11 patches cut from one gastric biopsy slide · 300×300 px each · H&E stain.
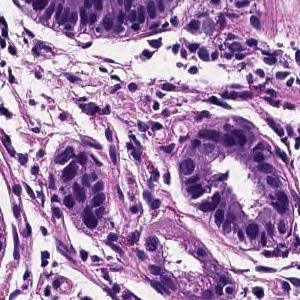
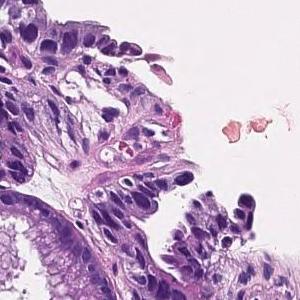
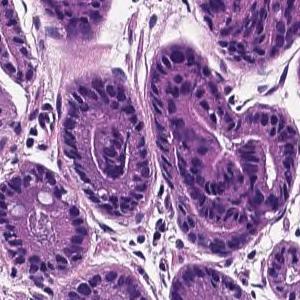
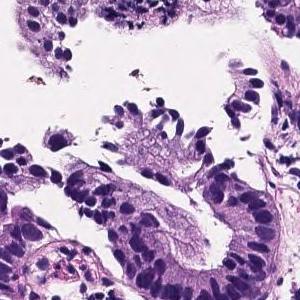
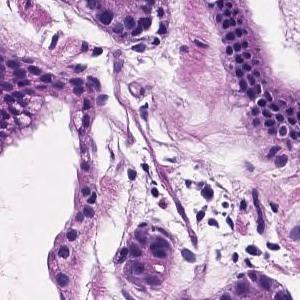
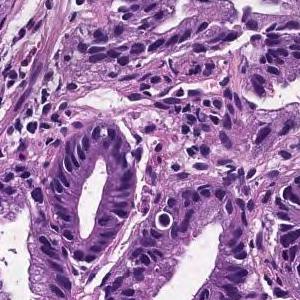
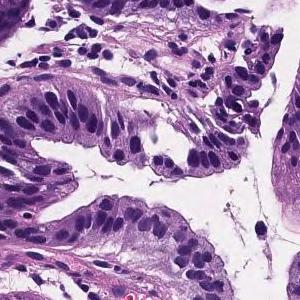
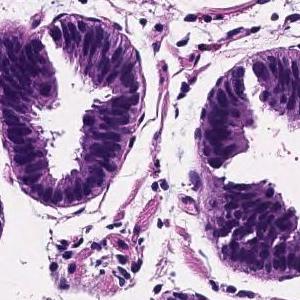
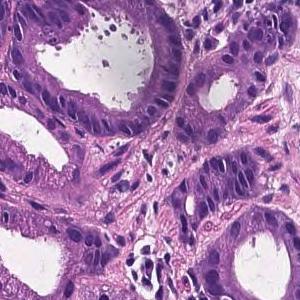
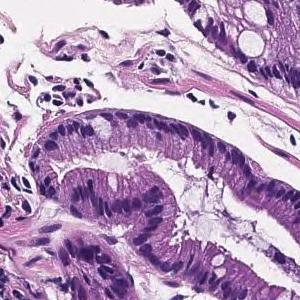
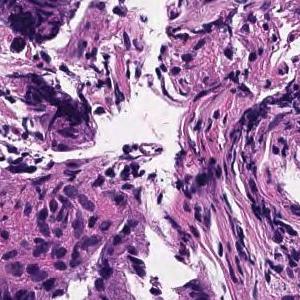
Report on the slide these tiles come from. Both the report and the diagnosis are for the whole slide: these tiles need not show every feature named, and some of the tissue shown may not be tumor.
Tumor cells are large, highly columnar, large club-shaped nuclei, and are associated with chromatin aggregation. Papillary adenocarcinoma.
